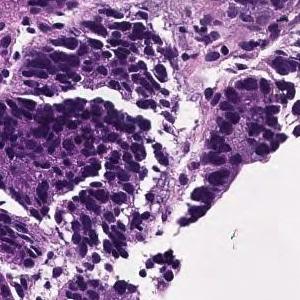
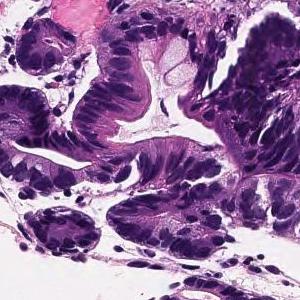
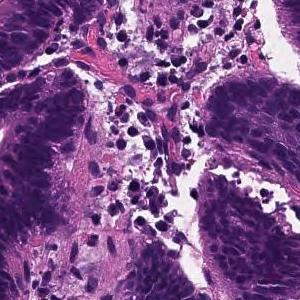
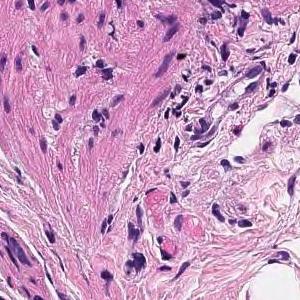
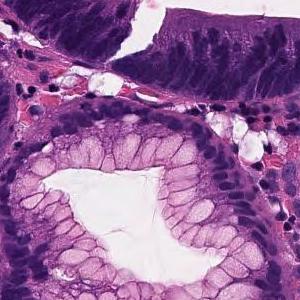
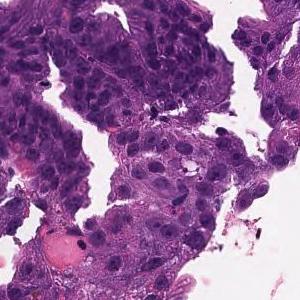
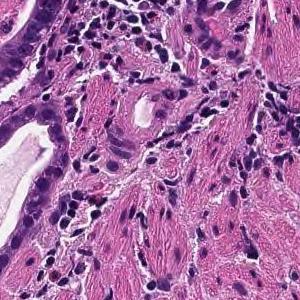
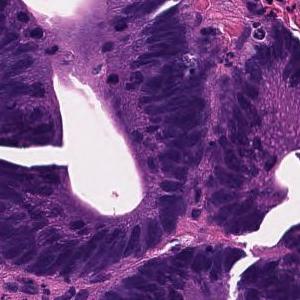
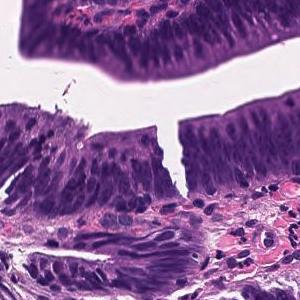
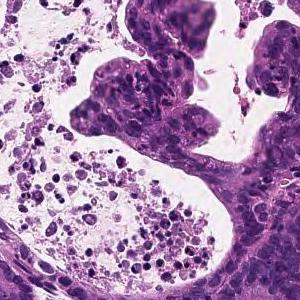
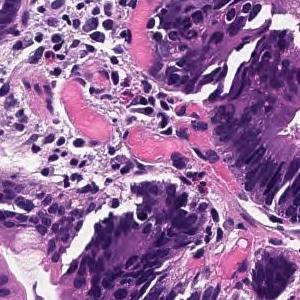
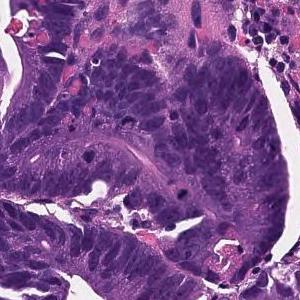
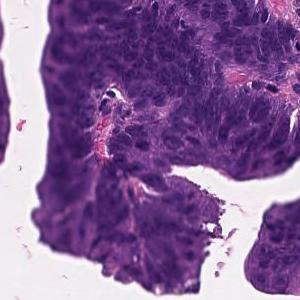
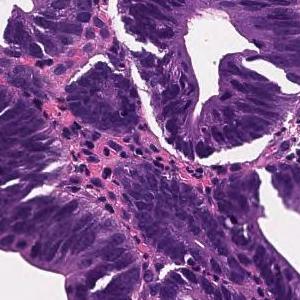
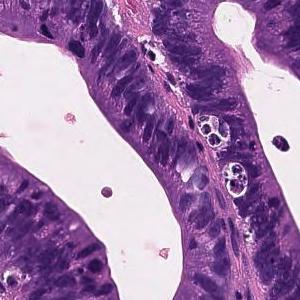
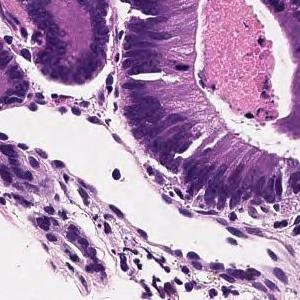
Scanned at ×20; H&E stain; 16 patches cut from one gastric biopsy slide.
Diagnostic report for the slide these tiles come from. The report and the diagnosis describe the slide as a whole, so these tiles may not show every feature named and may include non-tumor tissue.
Tumor tissue consisting of large papillary structures is found in the superficial epithelium. Papillary adenocarcinoma.
